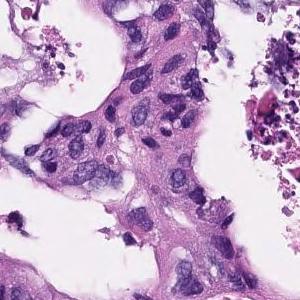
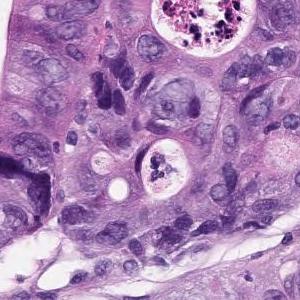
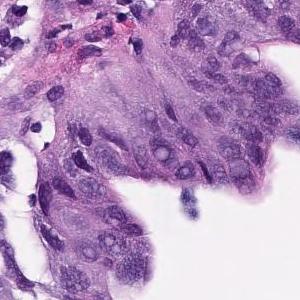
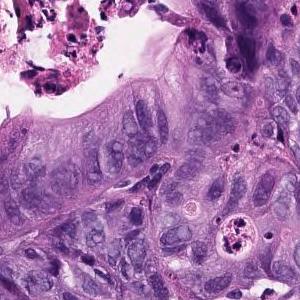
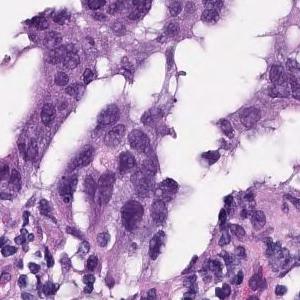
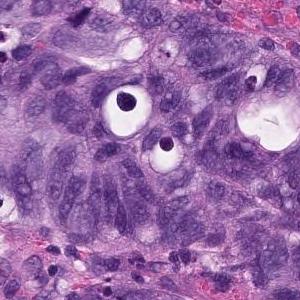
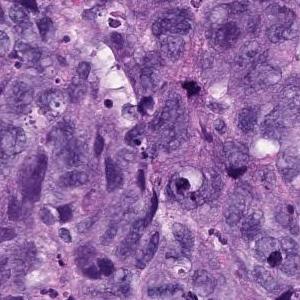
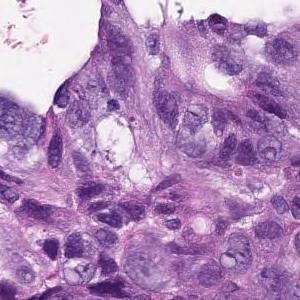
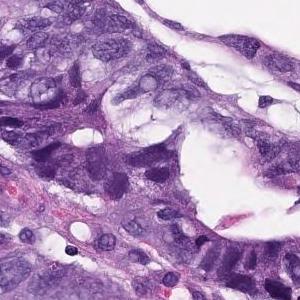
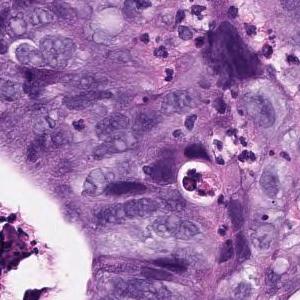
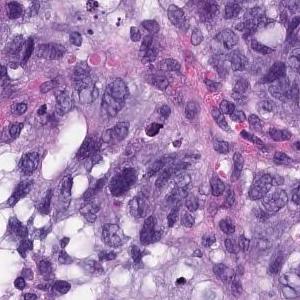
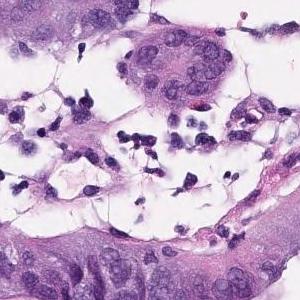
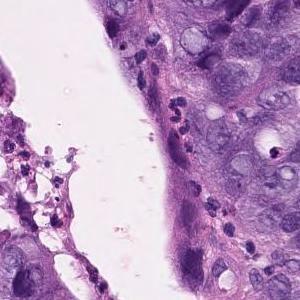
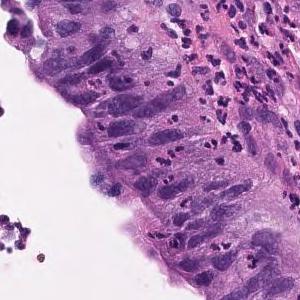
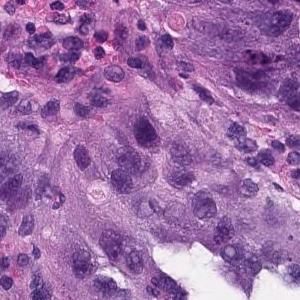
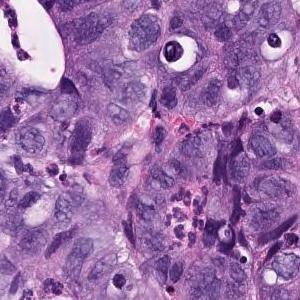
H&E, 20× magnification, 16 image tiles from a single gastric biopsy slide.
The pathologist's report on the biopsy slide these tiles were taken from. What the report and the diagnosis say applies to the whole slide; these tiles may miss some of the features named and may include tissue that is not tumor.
In the superficial epithelium, tumor tissue that invades by forming medium-sized to small, irregular ducts is observed. Moderately differentiated adenocarcinoma.
Histological subtype: Moderately differentiated tubular adenocarcinoma.
